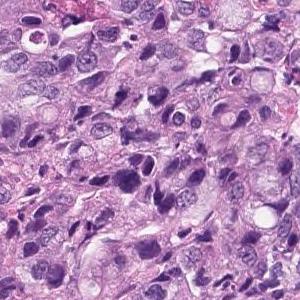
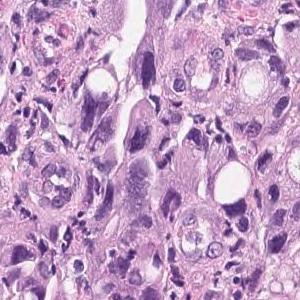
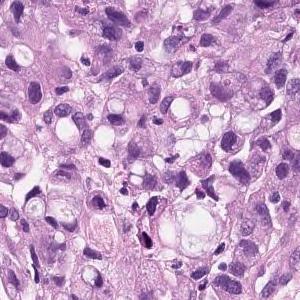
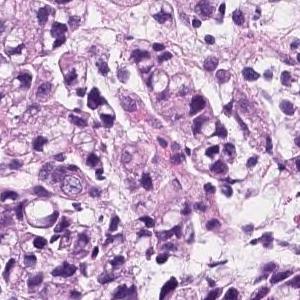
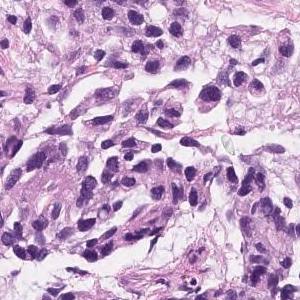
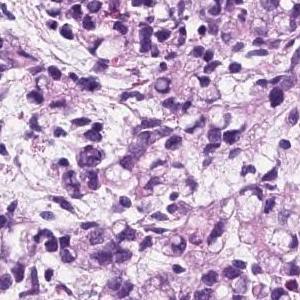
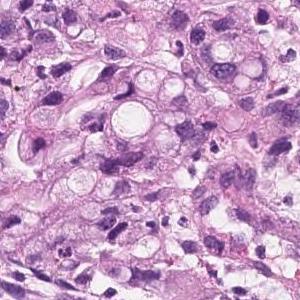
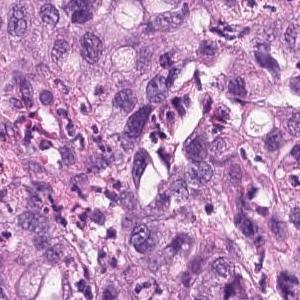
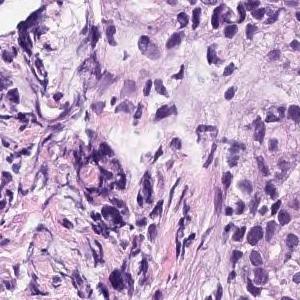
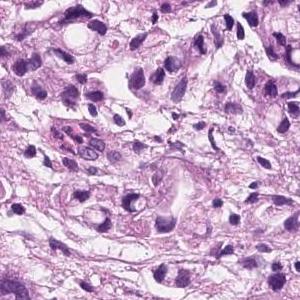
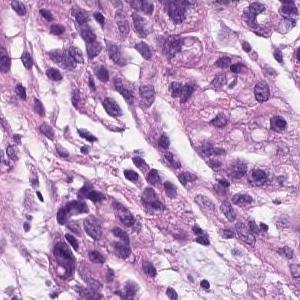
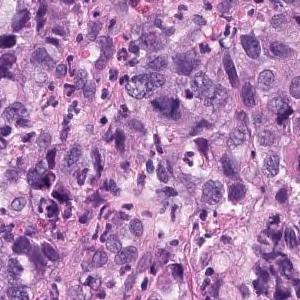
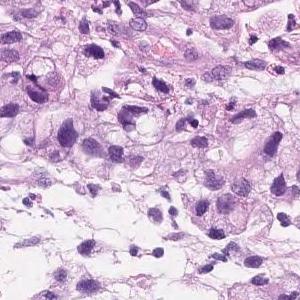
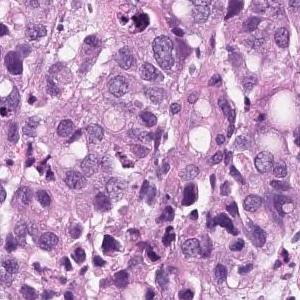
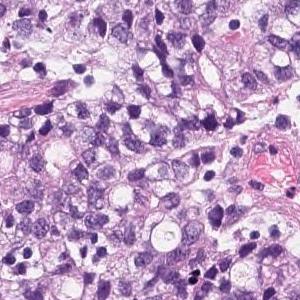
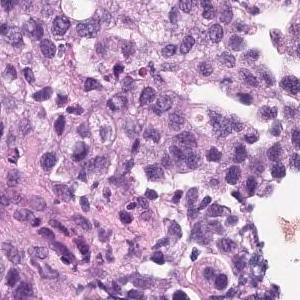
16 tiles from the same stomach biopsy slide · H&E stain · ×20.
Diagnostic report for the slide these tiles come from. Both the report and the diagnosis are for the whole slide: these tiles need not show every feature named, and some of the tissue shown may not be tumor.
Group 5, Adenocarcinoma. Poorly differentiated adenocarcinoma, non-solid type
The term "non-solid type" comes from the Japanese Classification of Gastric Carcinoma.
